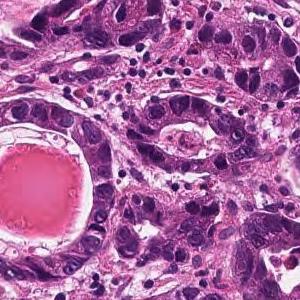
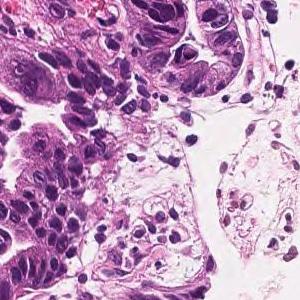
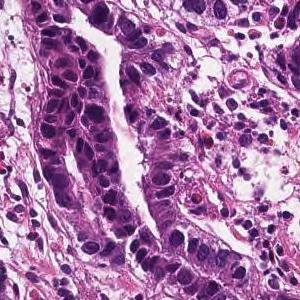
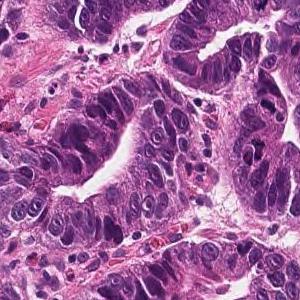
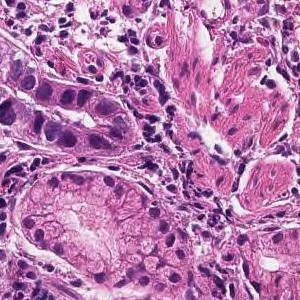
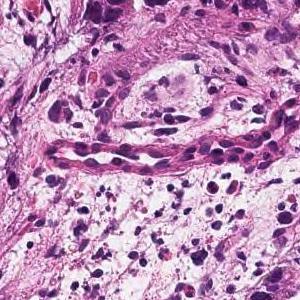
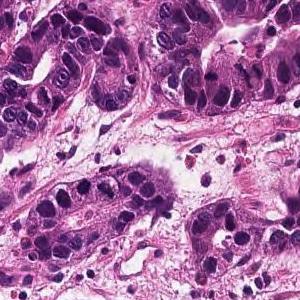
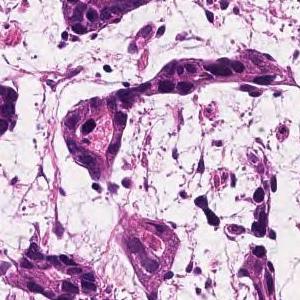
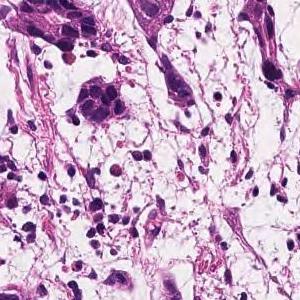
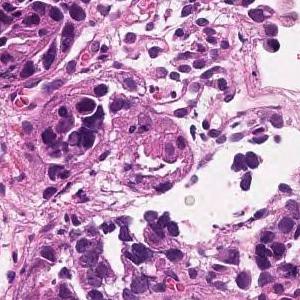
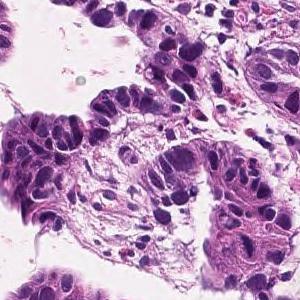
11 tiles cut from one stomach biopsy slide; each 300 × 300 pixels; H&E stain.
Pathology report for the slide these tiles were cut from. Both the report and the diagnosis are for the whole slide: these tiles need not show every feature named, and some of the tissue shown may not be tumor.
In the superficial epithelium, tumor tissue that invades by forming medium-sized to small, irregular ducts is observed. Well differentiated tubular adenocarcinoma.
